7 tiles cut from one stomach biopsy slide · 300 × 300 pixels each · H&E · scanned at ×20.
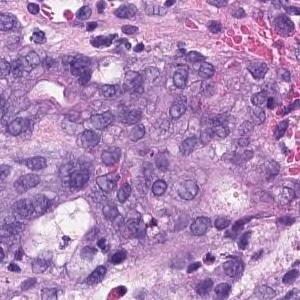
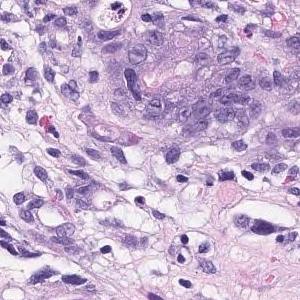
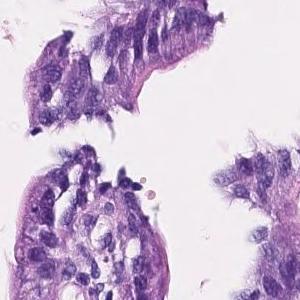
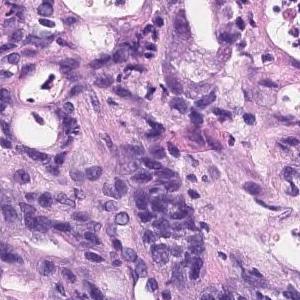
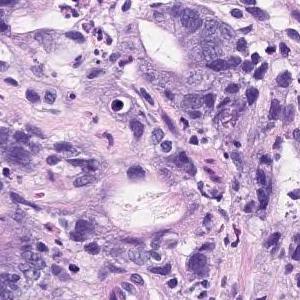
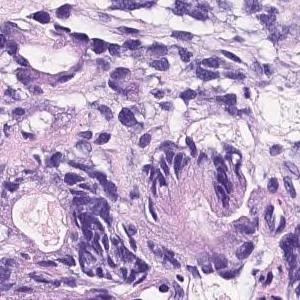
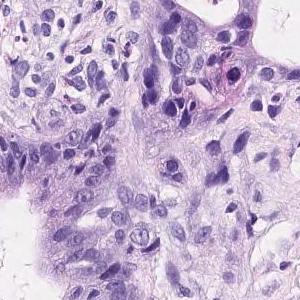
Pathology report for the slide these tiles were cut from. Both the report and the diagnosis are for the whole slide: these tiles need not show every feature named, and some of the tissue shown may not be tumor.
Irregularly fused atypical ducts proliferating while replacing existing ducts was observed. moderately differentiated tubular adenocarcinoma
